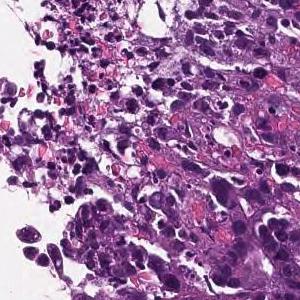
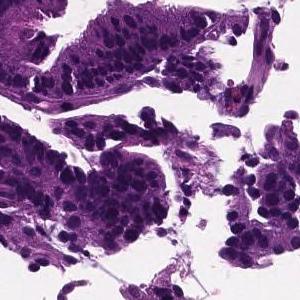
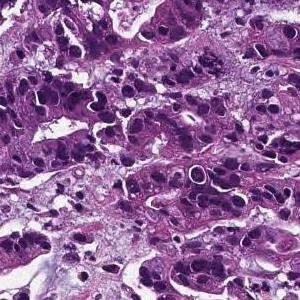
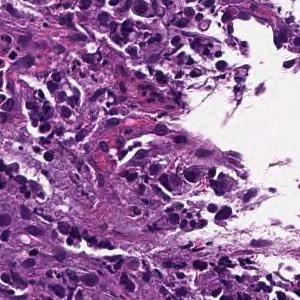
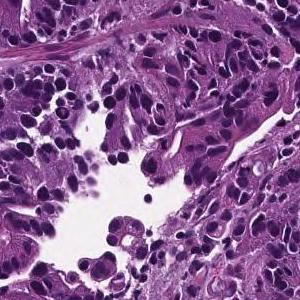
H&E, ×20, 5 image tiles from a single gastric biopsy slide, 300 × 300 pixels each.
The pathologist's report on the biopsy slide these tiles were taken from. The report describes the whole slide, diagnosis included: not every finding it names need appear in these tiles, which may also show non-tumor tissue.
On the superficial epithelium, tumor tissue consisting of large irregular glandular ducts partially fused and infiltrated is observed. Well to moderately differentiated tubular adenocarcinoma (well differentiated tubular adenocarcinoma, moderately differentiated tubular adenocarcinoma)
Tumor subtype: well to moderately differentiated tubular adenocarcinoma.
